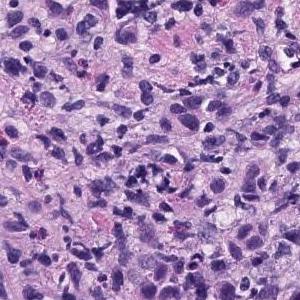
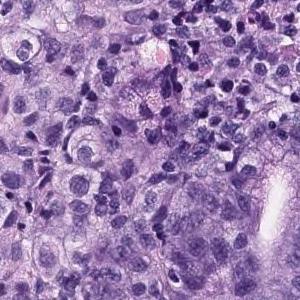
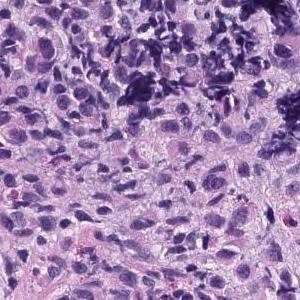
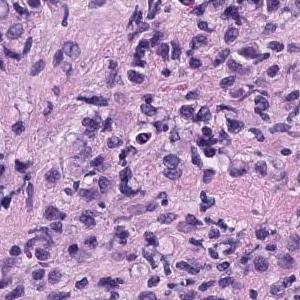
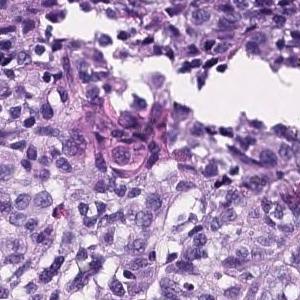
H&E; 5 tiles cut from one stomach biopsy slide; 300 × 300 pixels each.
Pathology report for the slide these tiles were cut from. The report describes the whole slide, diagnosis included: not every finding it names need appear in these tiles, which may also show non-tumor tissue.
There are medium-sized atypical cells with marked nuclear swelling and increased N/C ratio, which grow into solid or isolated scattered cells. Poorly differentiated adenocarcinoma
Histological subtype: Poorly differentiated adenocarcinoma, solid type (Japanese Classification of Gastric Carcinoma). The WHO 2019 equivalent is tubular adenocarcinoma, poorly differentiated.
